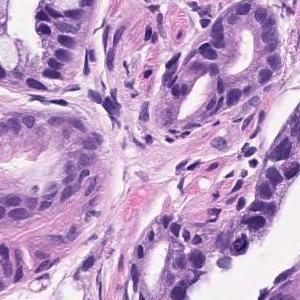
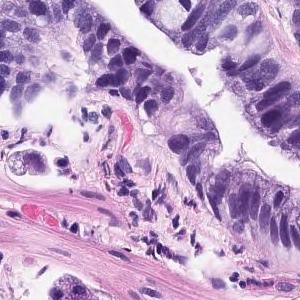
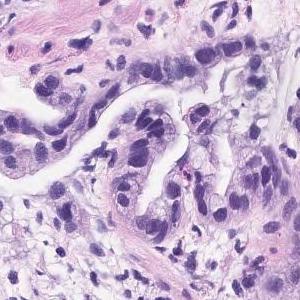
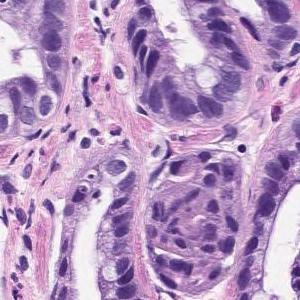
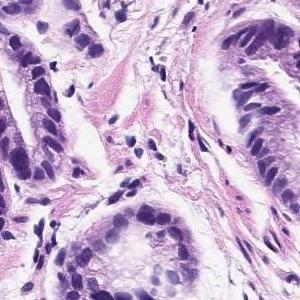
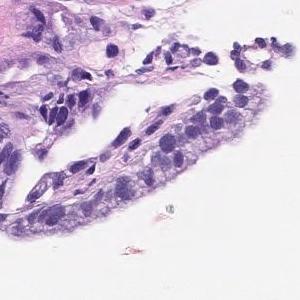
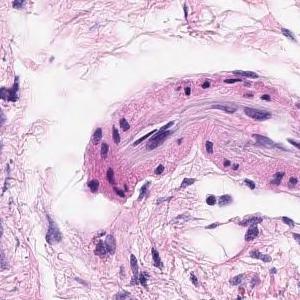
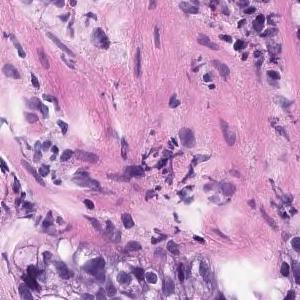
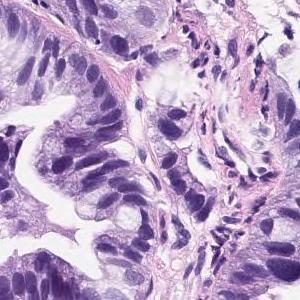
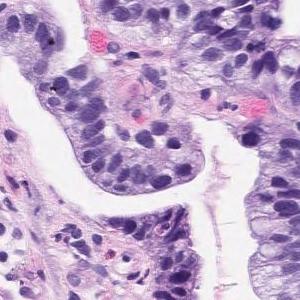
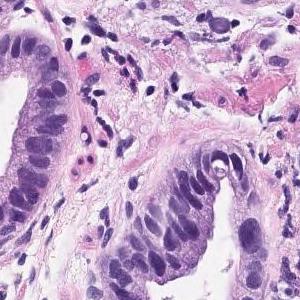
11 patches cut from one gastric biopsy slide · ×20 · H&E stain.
Pathology report for the slide these tiles were cut from. Both the report and the diagnosis are for the whole slide: these tiles need not show every feature named, and some of the tissue shown may not be tumor.
The superficial tumors shows large papillary structures or large and small ducts and infiltrates. Papillary adenocarcinoma.
